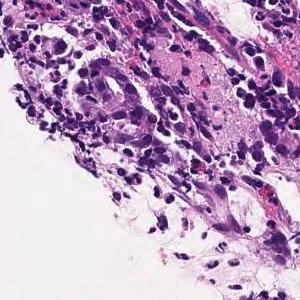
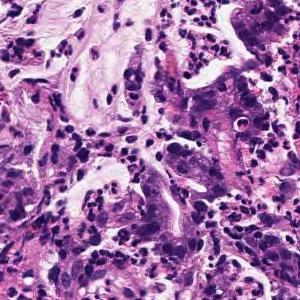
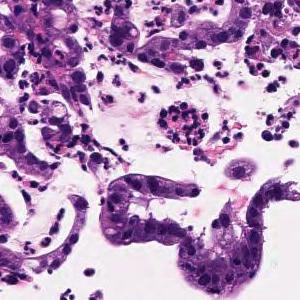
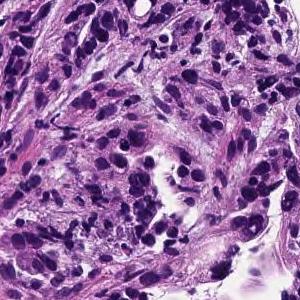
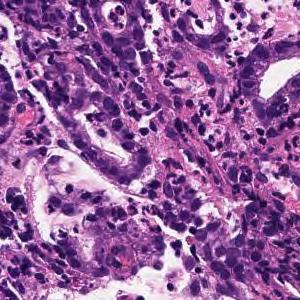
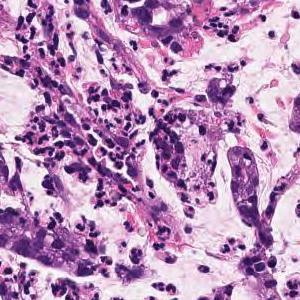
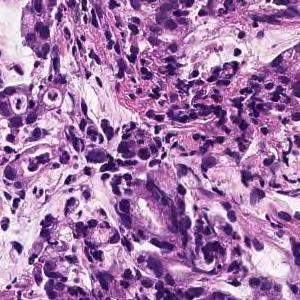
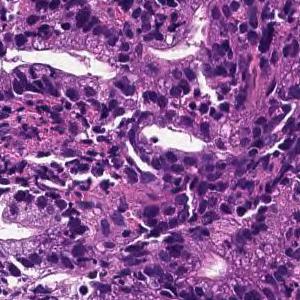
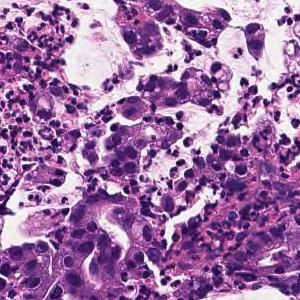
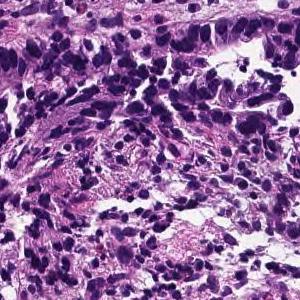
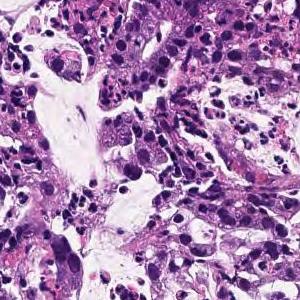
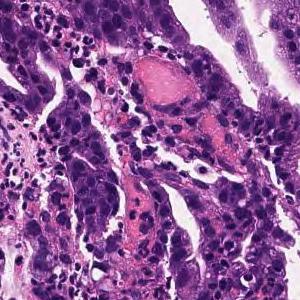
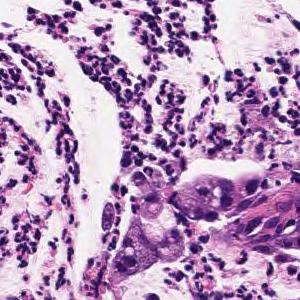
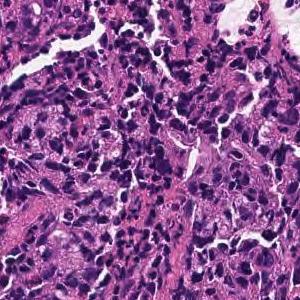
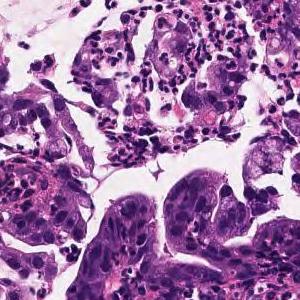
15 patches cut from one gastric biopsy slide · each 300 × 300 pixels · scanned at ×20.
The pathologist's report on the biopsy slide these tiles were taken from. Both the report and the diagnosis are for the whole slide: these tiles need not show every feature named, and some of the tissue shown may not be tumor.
On the superficial epithelium, tumor tissue consisting of large, irregular glandular ducts partially fused and infiltrated is observed. Well to moderately differentiated tubular adenocarcinoma (well differentiated tubular adenocarcinoma, moderately differentiated tubular adenocarcinoma)
Subtype: Well to moderately differentiated tubular adenocarcinoma.
